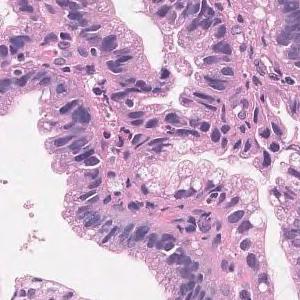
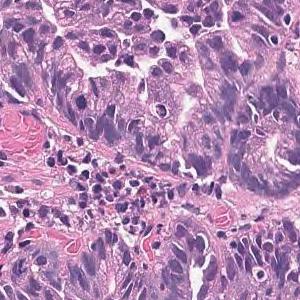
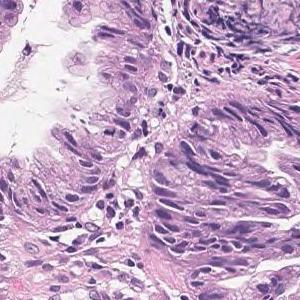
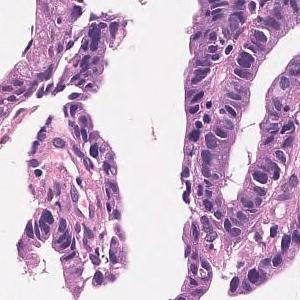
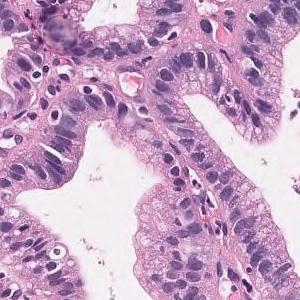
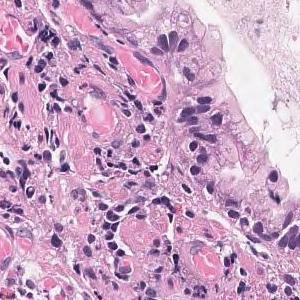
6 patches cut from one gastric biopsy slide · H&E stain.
Report on the slide these tiles come from. Both the report and the diagnosis are for the whole slide: these tiles need not show every feature named, and some of the tissue shown may not be tumor.
Tumor tissue that grows tubular from the surface to the glandular fossa is seen. Adenocarcinoma.
Histologic type: Well differentiated tubular adenocarcinoma.
